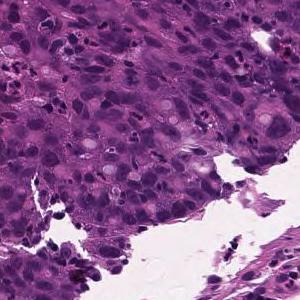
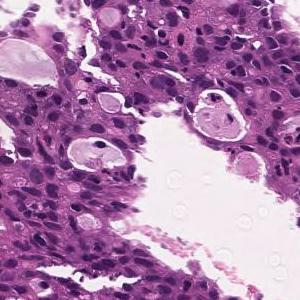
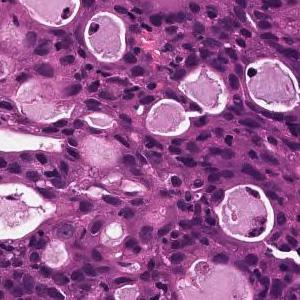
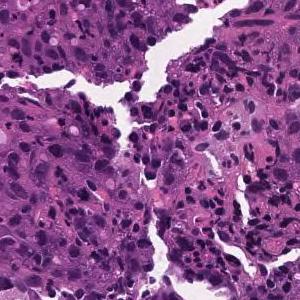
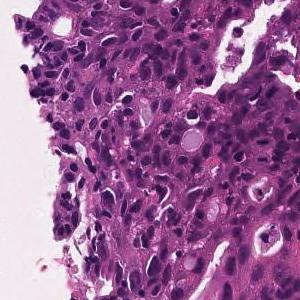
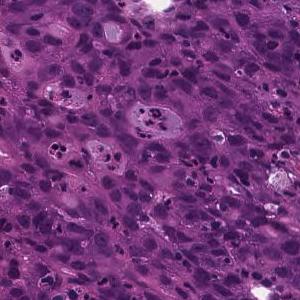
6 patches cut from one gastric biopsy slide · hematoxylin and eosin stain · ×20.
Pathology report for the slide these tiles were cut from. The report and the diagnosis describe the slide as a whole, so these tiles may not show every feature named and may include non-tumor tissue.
Cells with atypical nuclei are densely hyperplasia while forming sieve-like ducts of various sizes. moderately differentiated tubular adenocarcinoma
